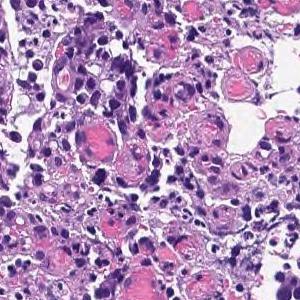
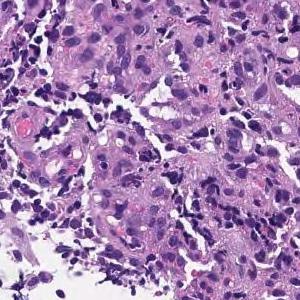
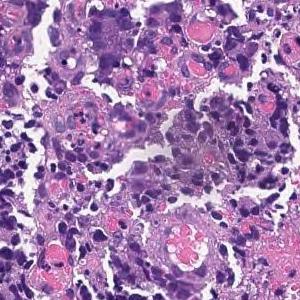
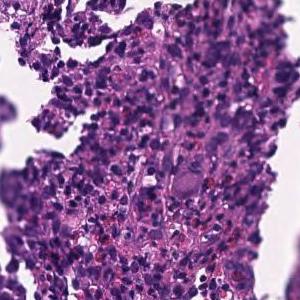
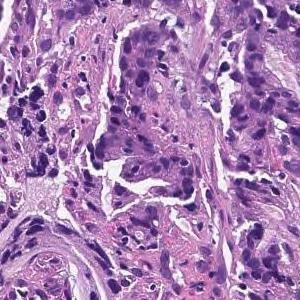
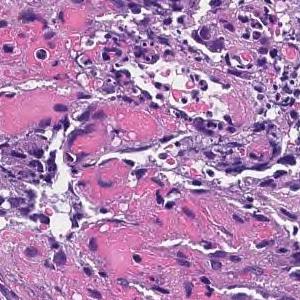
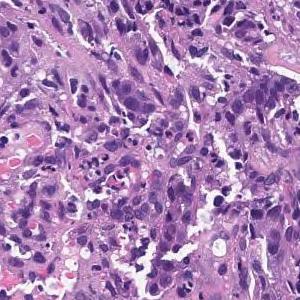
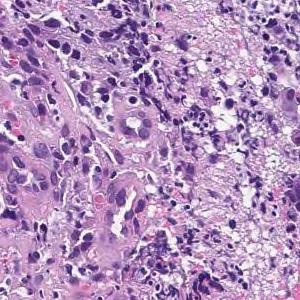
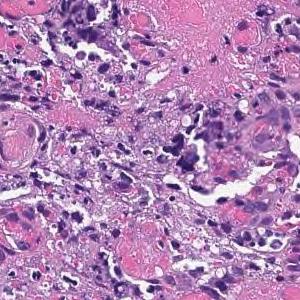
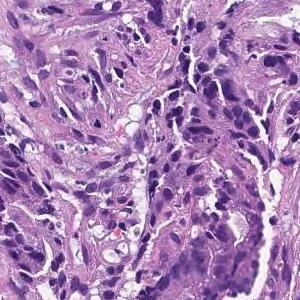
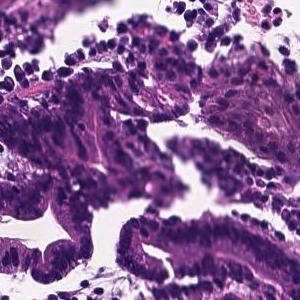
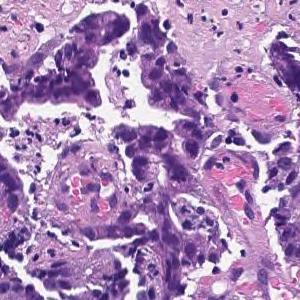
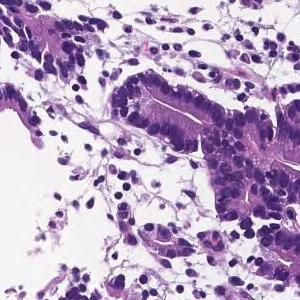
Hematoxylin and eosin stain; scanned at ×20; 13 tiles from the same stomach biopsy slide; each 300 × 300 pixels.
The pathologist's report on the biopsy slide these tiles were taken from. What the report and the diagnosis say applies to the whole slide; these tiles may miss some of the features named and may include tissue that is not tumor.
On the superficial epithelium, tumor tissue consisting of large irregular glandular ducts partially fused and infiltrated is observed. Well to moderately differentiated tubular adenocarcinoma (well differentiated tubular adenocarcinoma, moderately differentiated tubular adenocarcinoma)
Histologic type: Well to moderately differentiated tubular adenocarcinoma.
